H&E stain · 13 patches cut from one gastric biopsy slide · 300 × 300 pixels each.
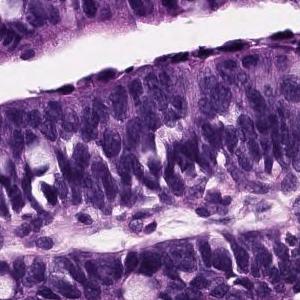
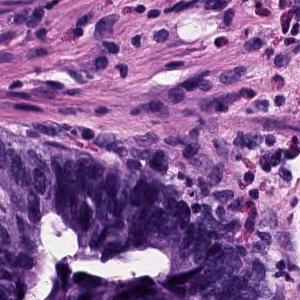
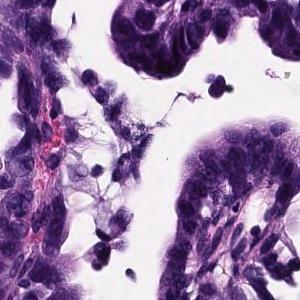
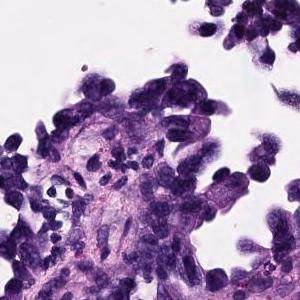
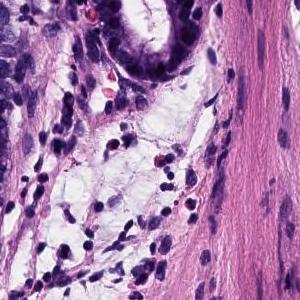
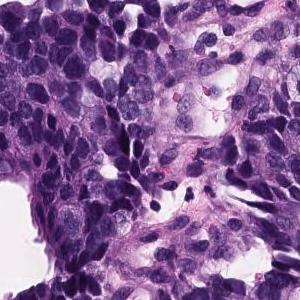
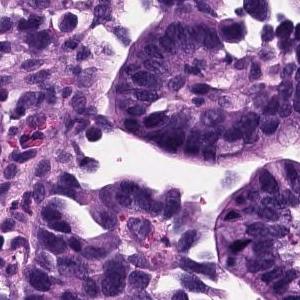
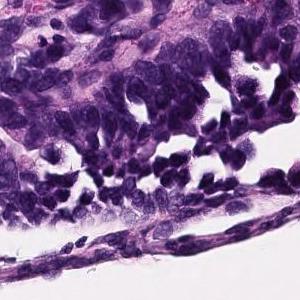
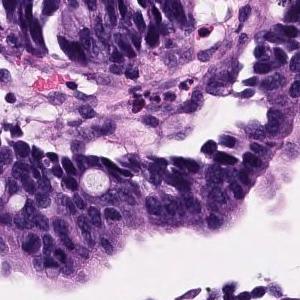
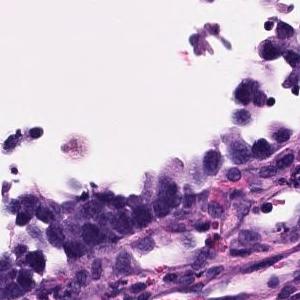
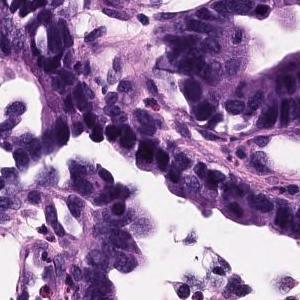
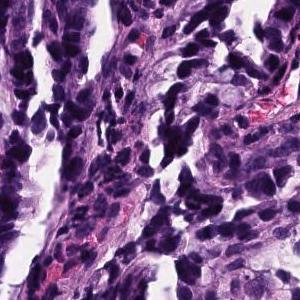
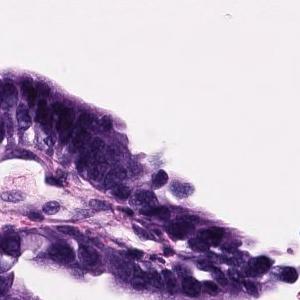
Diagnostic report for the slide these tiles come from. The report and the diagnosis describe the slide as a whole, so these tiles may not show every feature named and may include non-tumor tissue.
Atypical epithelium proliferating showing villus construction and irregular gland duct construction is observed. Moderately differentiated tubular adenocarcinoma.
